9 image tiles from a single gastric biopsy slide, H&E, 20× magnification.
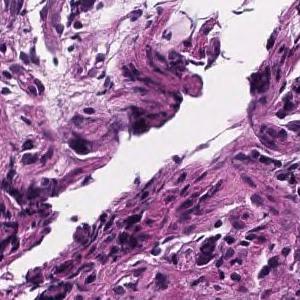
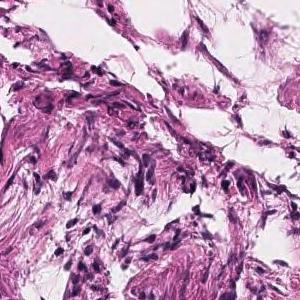
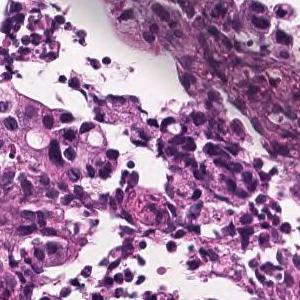
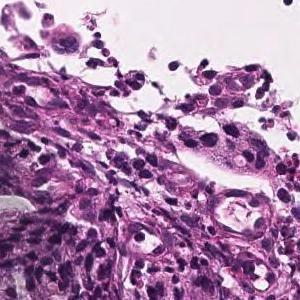
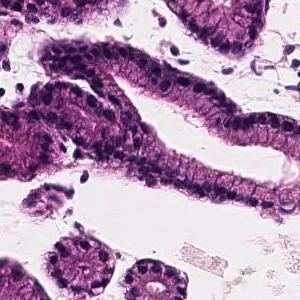
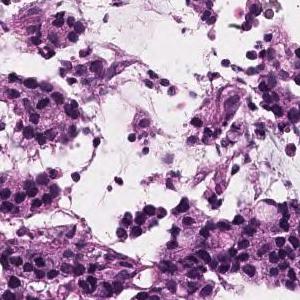
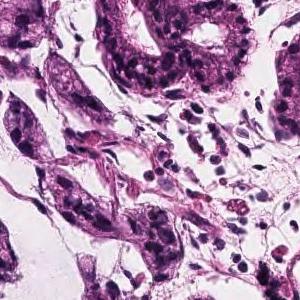
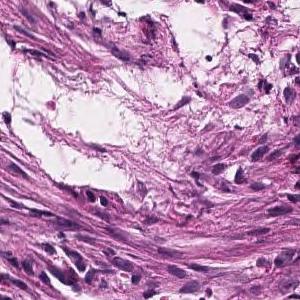
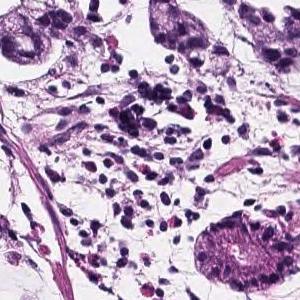
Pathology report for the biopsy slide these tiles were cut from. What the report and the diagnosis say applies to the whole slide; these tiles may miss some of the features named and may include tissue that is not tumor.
Atypical epithelial cells form obscure ductal structures or small solid follicles, and tumor tissue that proliferates invasively with proliferation of inflammatory granulation tissue is observed. Mucinous adenocarcinoma .
